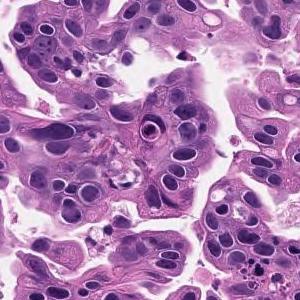
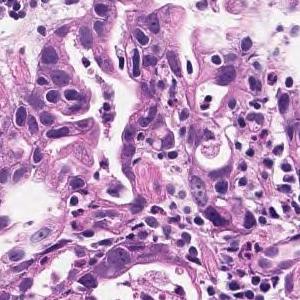
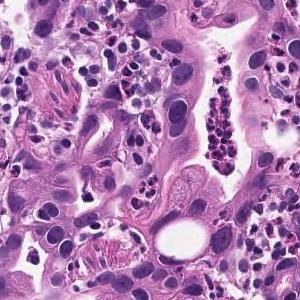
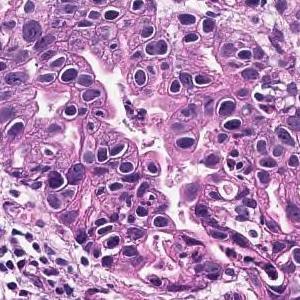
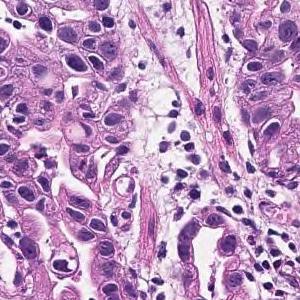
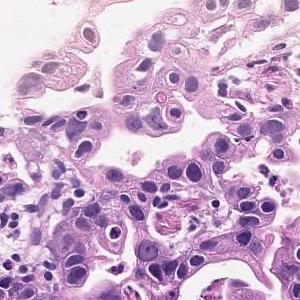
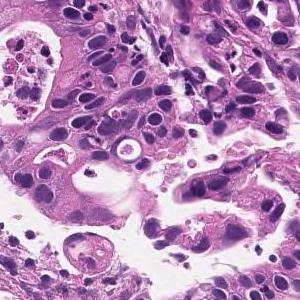
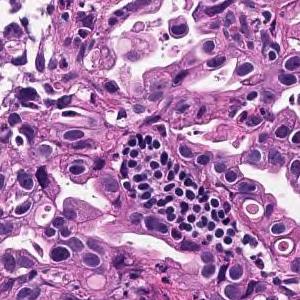
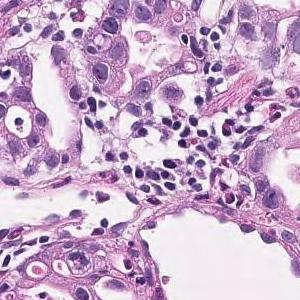
9 tiles from the same stomach biopsy slide · each 300 × 300 pixels.
Diagnostic report for the slide these tiles come from. The report and the diagnosis cover the entire slide, so not every feature they name need be visible here, and some tissue shown may not be tumor.
In the superficial epithelium, tumor tissue that invades by forming medium-sized to small, irregular ducts is observed. moderately differentiated tubular adenocarcinoma.
